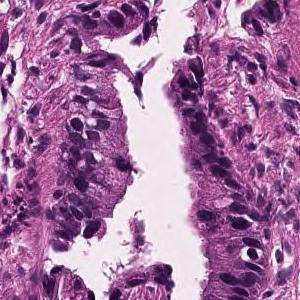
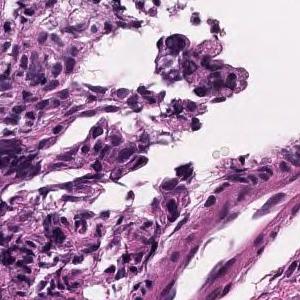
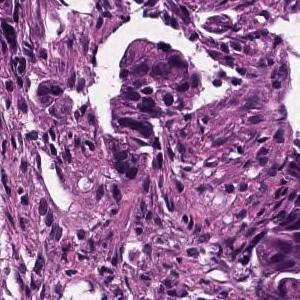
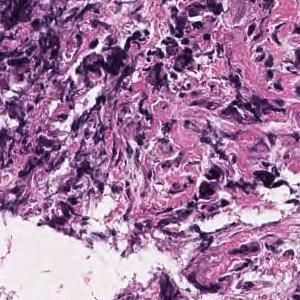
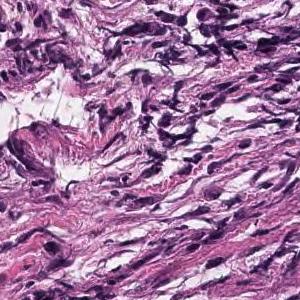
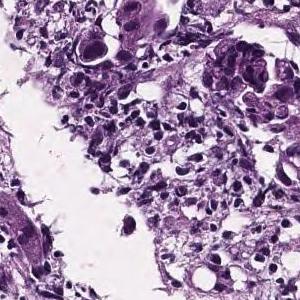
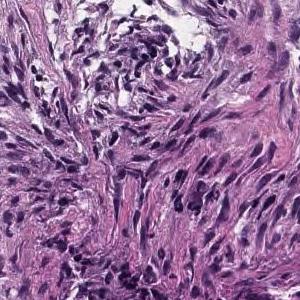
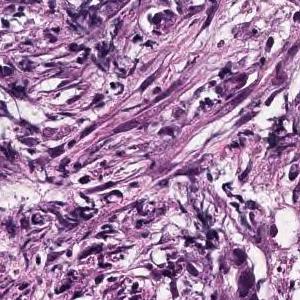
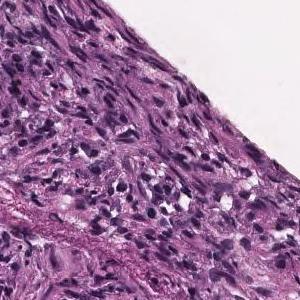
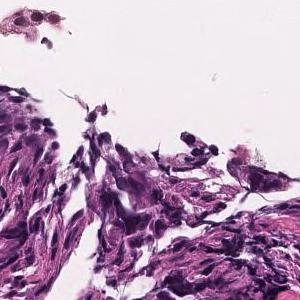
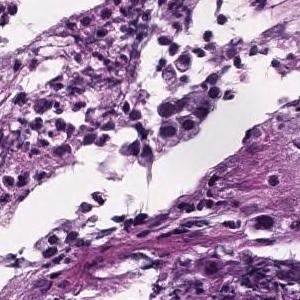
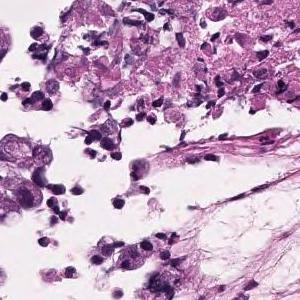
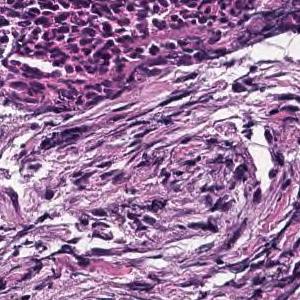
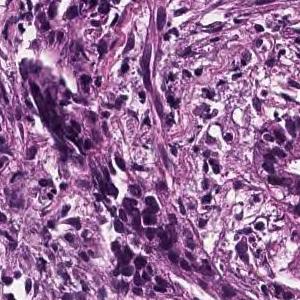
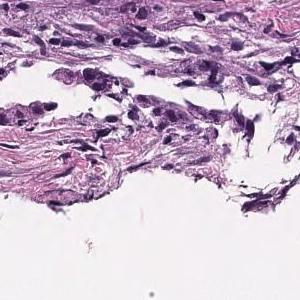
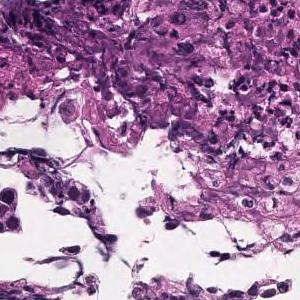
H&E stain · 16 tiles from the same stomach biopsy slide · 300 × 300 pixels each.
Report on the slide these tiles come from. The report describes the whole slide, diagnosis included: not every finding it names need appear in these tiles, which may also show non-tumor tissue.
In the superficial epithelium, tumor tissue that invades by forming medium-sized to small, irregular ducts is observed. moderately differentiated tubular adenocarcinoma.
